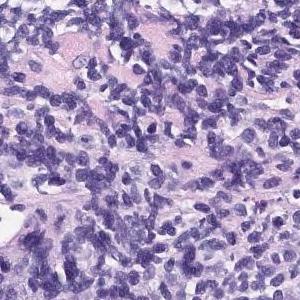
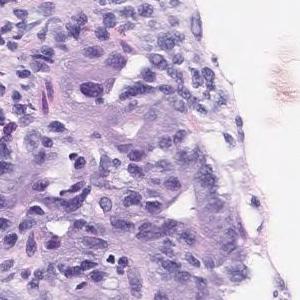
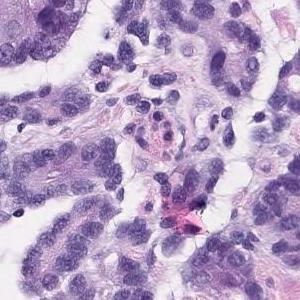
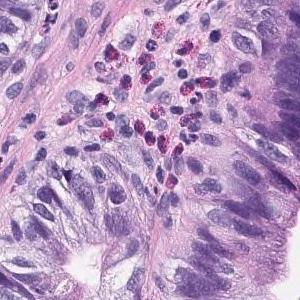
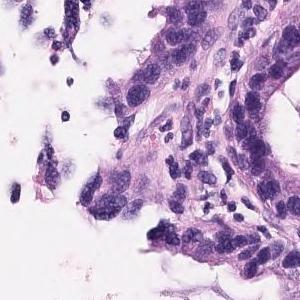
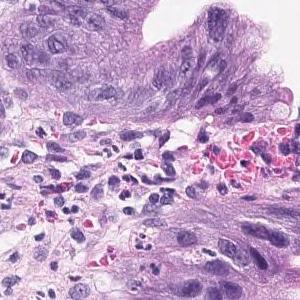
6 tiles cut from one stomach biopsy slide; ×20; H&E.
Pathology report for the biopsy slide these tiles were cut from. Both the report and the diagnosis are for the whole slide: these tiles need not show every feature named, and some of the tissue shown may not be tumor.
In the superficial epithelium, tumor tissue that invades by forming medium-sized to small, irregular ducts is observed. Well to moderately differentiated tubular adenocarcinoma.
